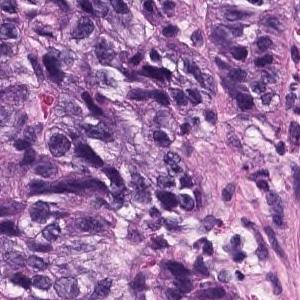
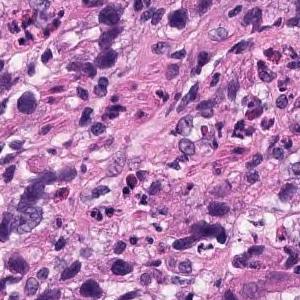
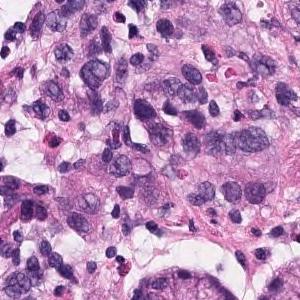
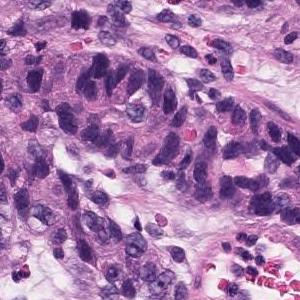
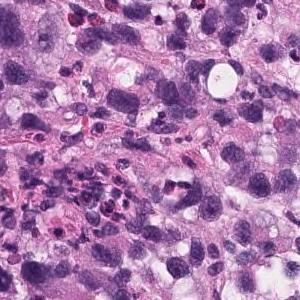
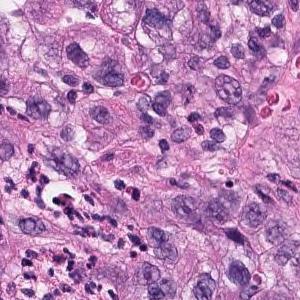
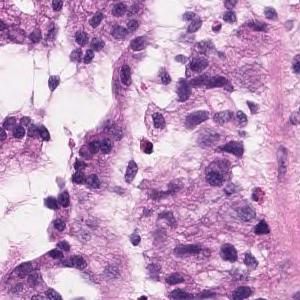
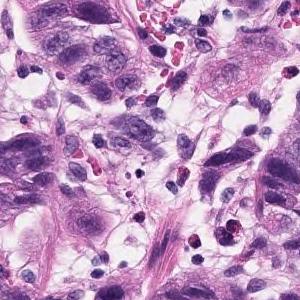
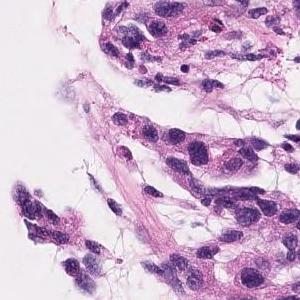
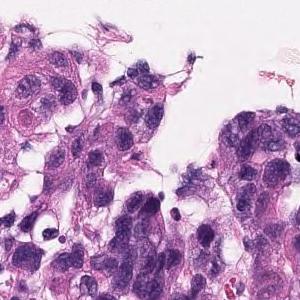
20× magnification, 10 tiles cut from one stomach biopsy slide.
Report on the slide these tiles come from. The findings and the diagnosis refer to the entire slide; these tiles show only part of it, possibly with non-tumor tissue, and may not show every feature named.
Atypical l cells with atypical nuclei forming diffuse or small irregular atypical ducts and growing. Moderately to poorly differentiated adenocarcinoma (poorly differentiated adenocarcinoma, solid type, moderately differentiated tubular adenocarcinoma)
Histologic type: Moderately to poorly differentiated adenocarcinoma.
The term "solid type" comes from the Japanese Classification of Gastric Carcinoma; the WHO 2019 equivalent is tubular adenocarcinoma, poorly differentiated.
